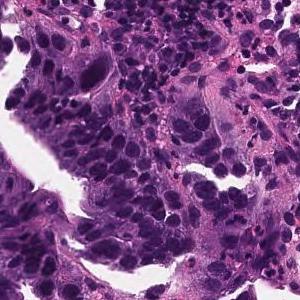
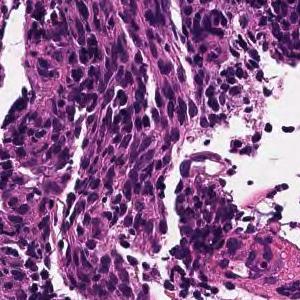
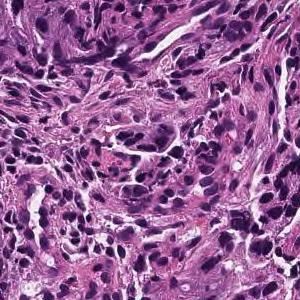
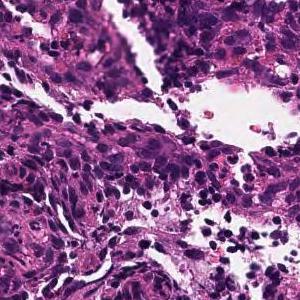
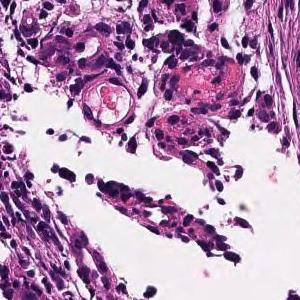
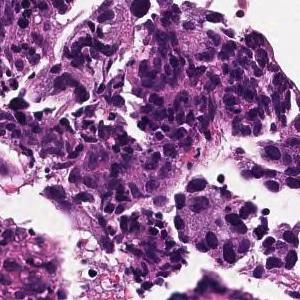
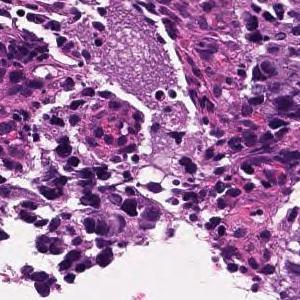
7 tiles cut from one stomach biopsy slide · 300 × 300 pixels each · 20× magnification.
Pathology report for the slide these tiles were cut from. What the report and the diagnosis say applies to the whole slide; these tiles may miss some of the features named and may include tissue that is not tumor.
On the superficial epithelium, tumor tissue consisting of large irregular glandular ducts partially fused and infiltrated is observed. Well to moderately differentiated tubular adenocarcinoma (well differentiated tubular adenocarcinoma, moderately differentiated tubular adenocarcinoma)
Histologic type: Well to moderately differentiated tubular adenocarcinoma.
